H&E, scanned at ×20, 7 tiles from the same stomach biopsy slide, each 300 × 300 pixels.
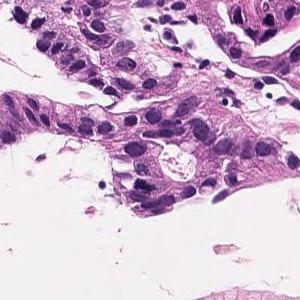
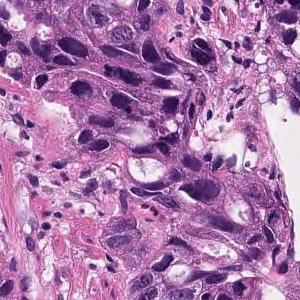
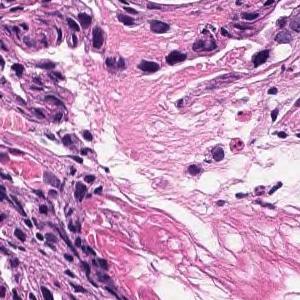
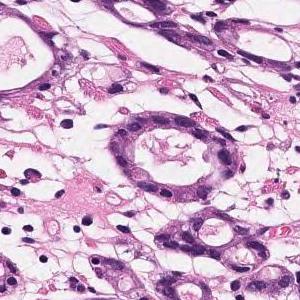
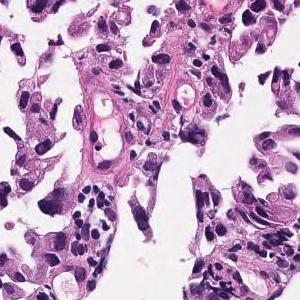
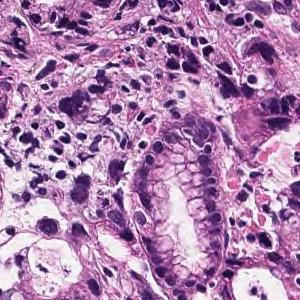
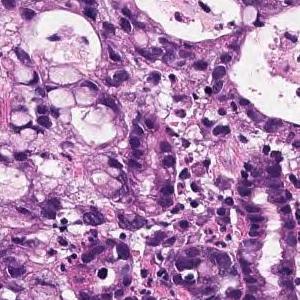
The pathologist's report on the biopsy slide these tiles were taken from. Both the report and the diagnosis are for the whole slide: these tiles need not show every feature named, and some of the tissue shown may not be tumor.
In the superficial epithelium, tumor tissue that invades by forming medium-sized to small, irregular ducts is observed. Moderately differentiated adenocarcinoma.
Classified as moderately differentiated tubular adenocarcinoma.
